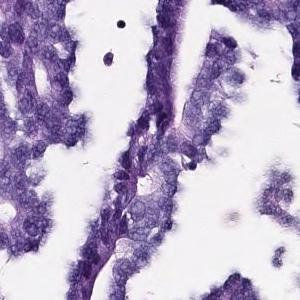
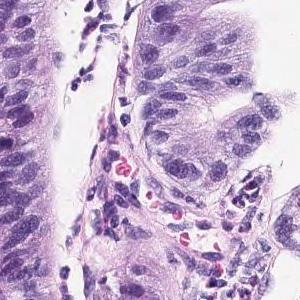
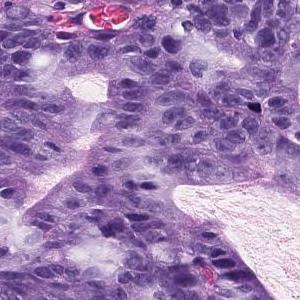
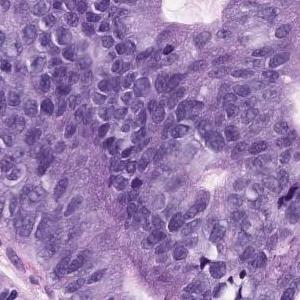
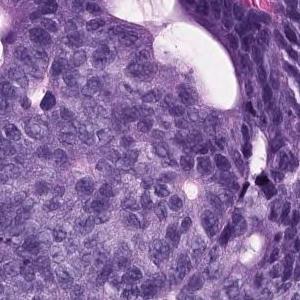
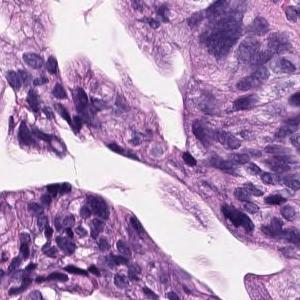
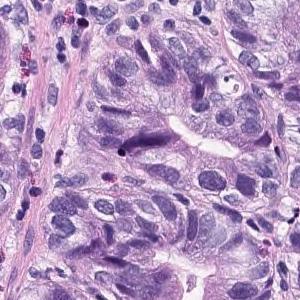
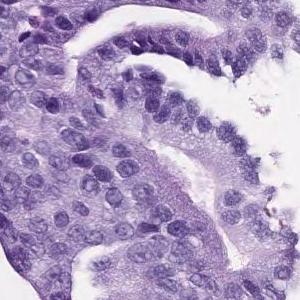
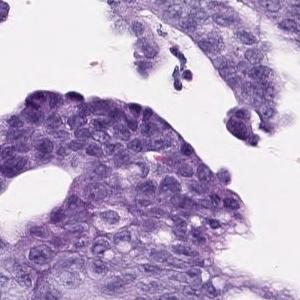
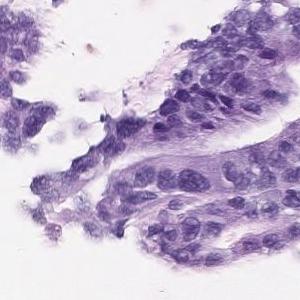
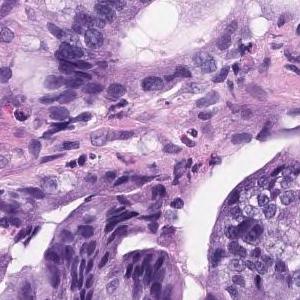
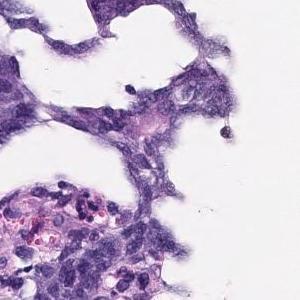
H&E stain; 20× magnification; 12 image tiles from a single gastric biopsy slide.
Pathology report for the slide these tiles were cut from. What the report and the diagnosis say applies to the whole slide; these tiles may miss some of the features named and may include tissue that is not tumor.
In the superficial epithelium, tumor tissue that invades by forming medium-sized to small, irregular ducts is observed. Well to moderately differentiated tubular adenocarcinoma.
